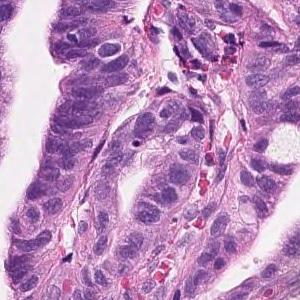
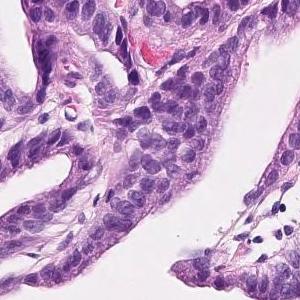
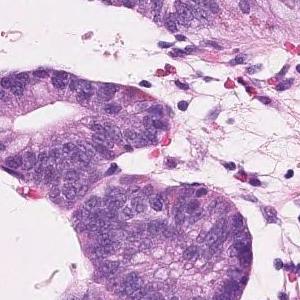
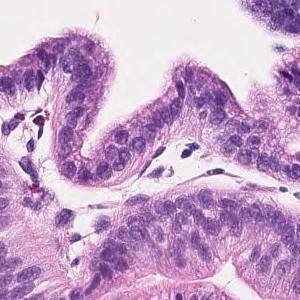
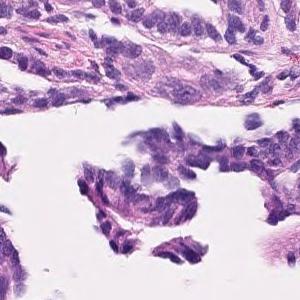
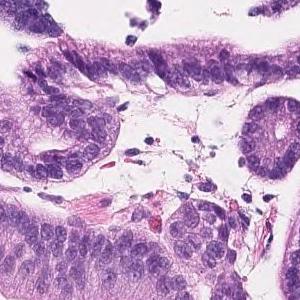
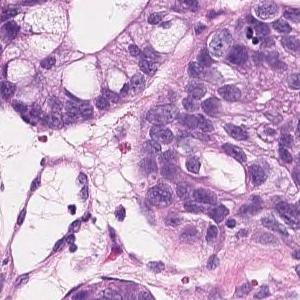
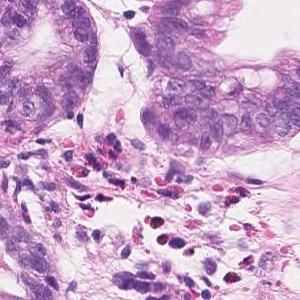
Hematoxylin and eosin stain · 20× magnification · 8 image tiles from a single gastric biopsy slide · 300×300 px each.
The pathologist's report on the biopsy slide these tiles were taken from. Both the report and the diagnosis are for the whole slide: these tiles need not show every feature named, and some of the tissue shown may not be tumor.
Tumor cells are large, highly columnar, large club-shaped nuclei, and are associated with chromatin aggregation. Papillary adenocarcinoma.
